×20, hematoxylin and eosin stain, 8 tiles from the same stomach biopsy slide.
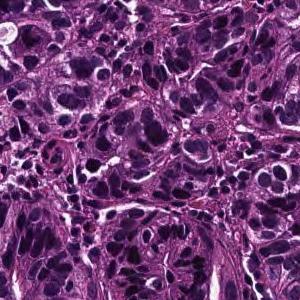
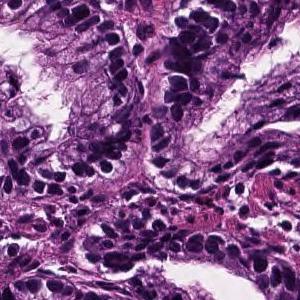
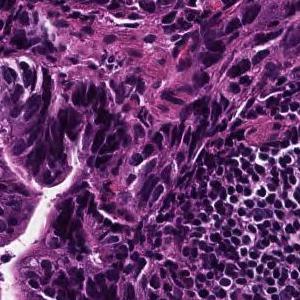
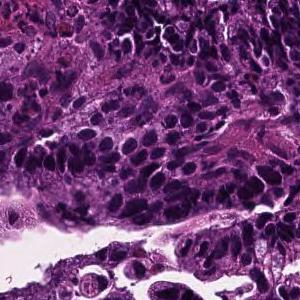
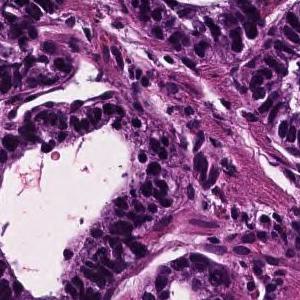
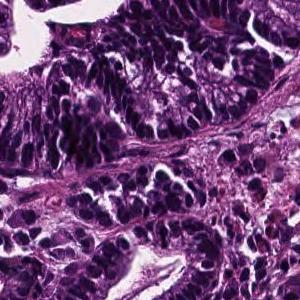
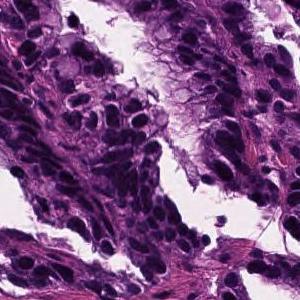
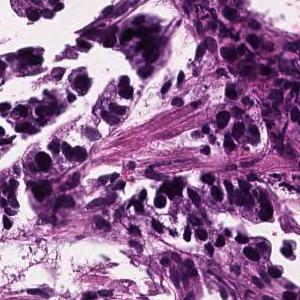
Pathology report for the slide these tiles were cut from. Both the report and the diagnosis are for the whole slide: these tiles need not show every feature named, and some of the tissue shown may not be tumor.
In the superficial epithelium, tumor tissue that invades by forming medium-sized to small, irregular ducts is observed. Well differentiated tubular adenocarcinoma.
